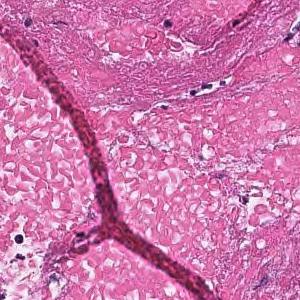
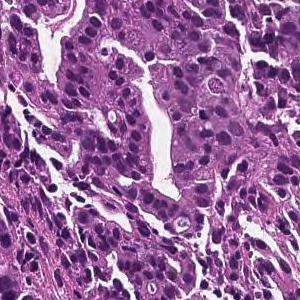
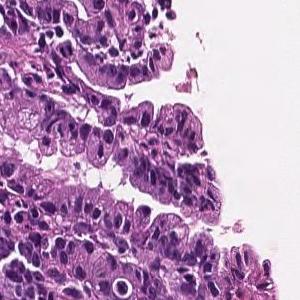
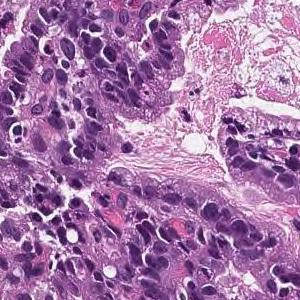
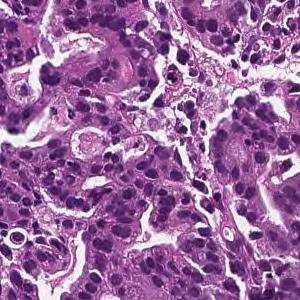
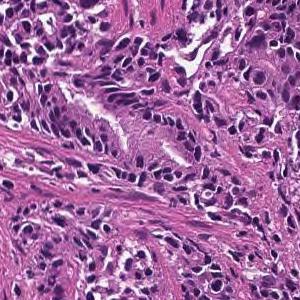
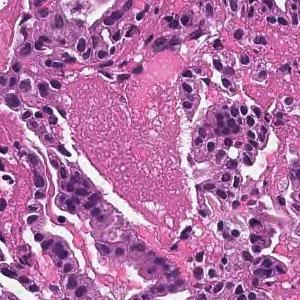
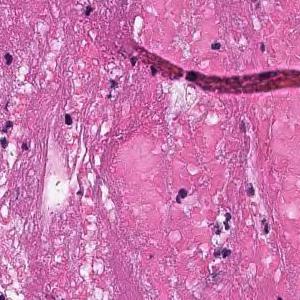
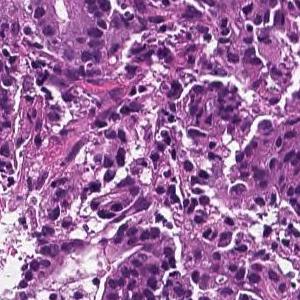
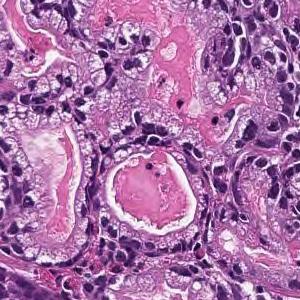
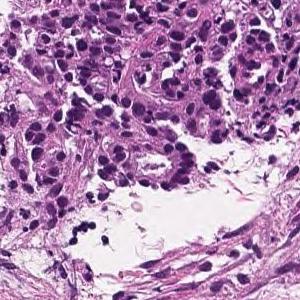
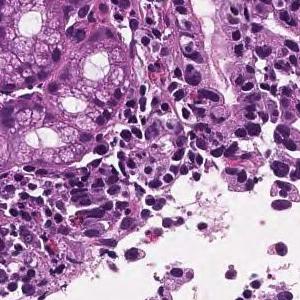
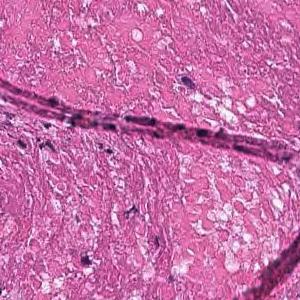
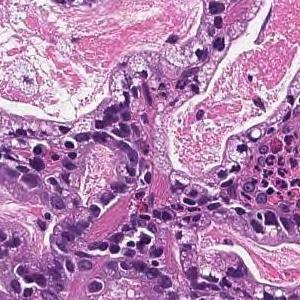
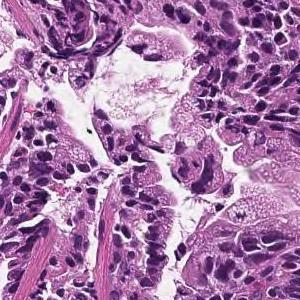
15 tiles from the same stomach biopsy slide; H&E.
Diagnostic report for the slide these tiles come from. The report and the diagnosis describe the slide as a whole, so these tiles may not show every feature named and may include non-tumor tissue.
On the superficial epithelium, tumor tissue that infiltrates by forming medium-sized papillary or small irregular ducts is observed. Papillary adenocarcinoma
